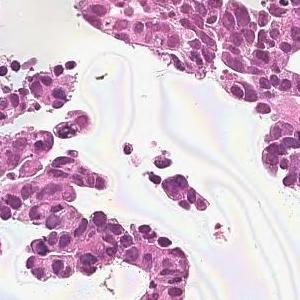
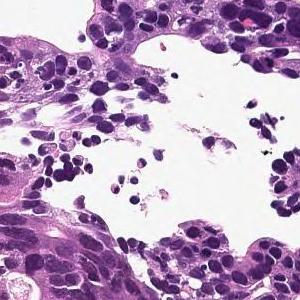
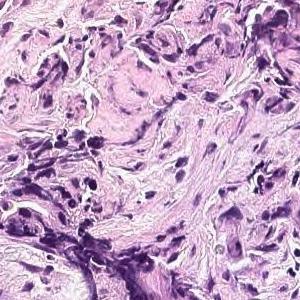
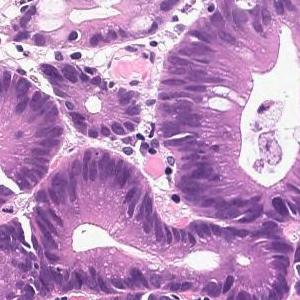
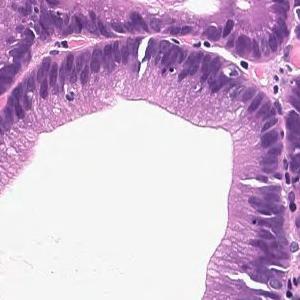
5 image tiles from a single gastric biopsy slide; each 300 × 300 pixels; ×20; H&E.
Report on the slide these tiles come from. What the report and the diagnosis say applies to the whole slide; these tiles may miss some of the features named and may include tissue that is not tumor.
In the superficial epithelium, tumor tissue that invades by forming medium-sized to small, irregular ducts is observed. moderately differentiated tubular adenocarcinoma.
